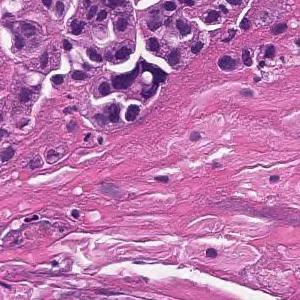
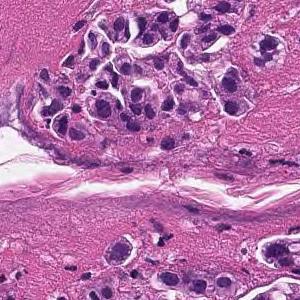
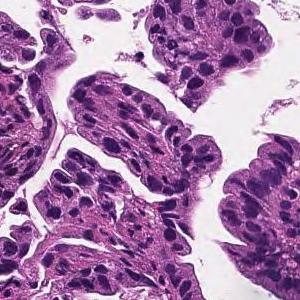
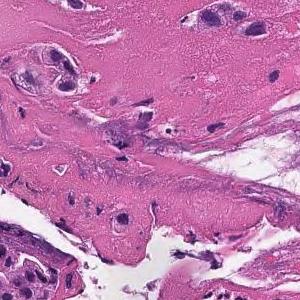
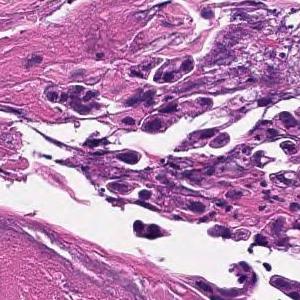
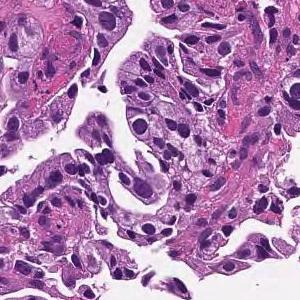
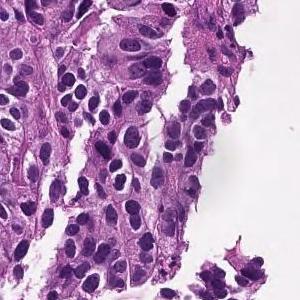
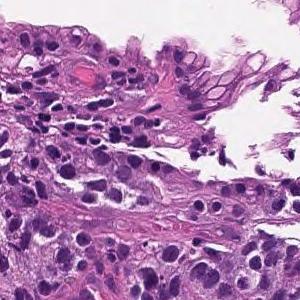
8 patches cut from one gastric biopsy slide, H&E, scanned at ×20.
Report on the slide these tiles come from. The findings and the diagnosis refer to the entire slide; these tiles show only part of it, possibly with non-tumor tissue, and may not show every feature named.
Medium to small, irregular glandular ducts are formed in the superficial epithelium, and in some cases, the glandular ducts are fused to show solid alveolar lesions and infiltrating tumor tissue is observed. Moderately to poorly differentiated adenocarcinoma.
